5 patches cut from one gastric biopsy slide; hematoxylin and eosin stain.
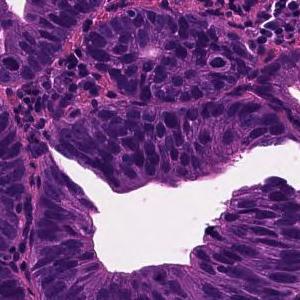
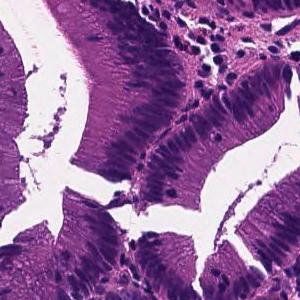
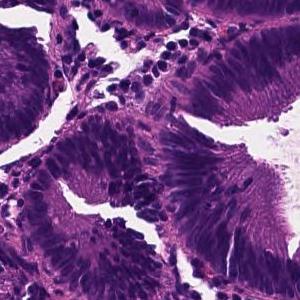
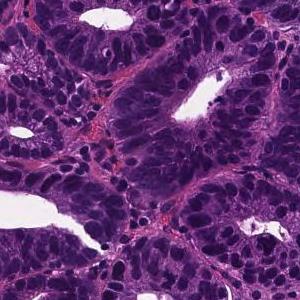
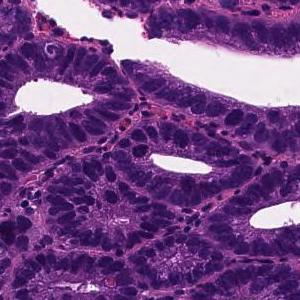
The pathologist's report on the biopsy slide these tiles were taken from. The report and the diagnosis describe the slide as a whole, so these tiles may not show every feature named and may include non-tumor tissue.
Tumor tissue in which medium to small irregular ducts infiltrate and proliferate in the submucosa can be seen in the epithelium. Well differentiated tubular adenocarcinoma
